4 tiles cut from one stomach biopsy slide, 20× magnification.
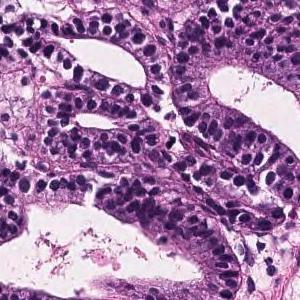
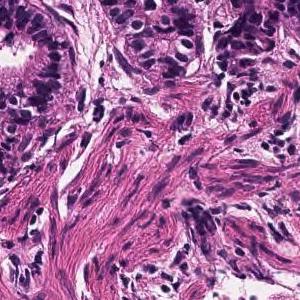
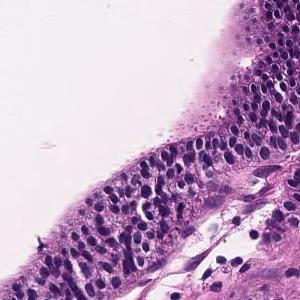
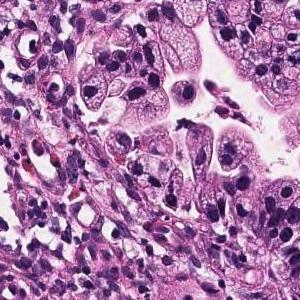
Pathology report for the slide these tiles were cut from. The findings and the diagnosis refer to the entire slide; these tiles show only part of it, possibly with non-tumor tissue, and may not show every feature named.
Tumor tissue consisting of large papillary structures or irregular glandular ducts partially fused and infiltrated is observed in the superficial epithelium. Well to moderately differentiated tubular adenocarcinoma.
Labeled in the dataset as moderately differentiated tubular adenocarcinoma.
